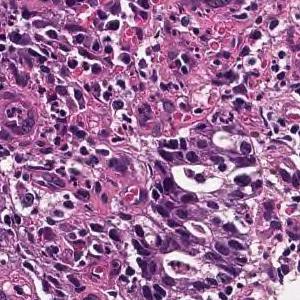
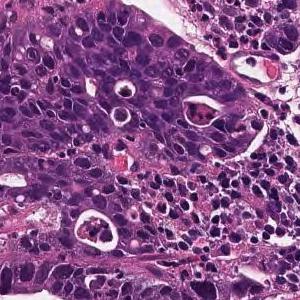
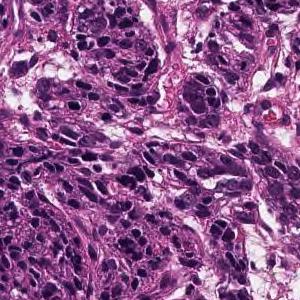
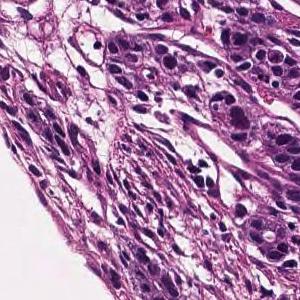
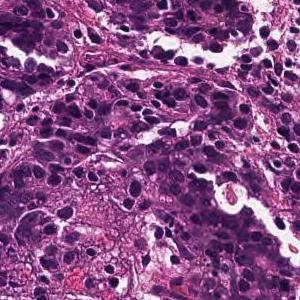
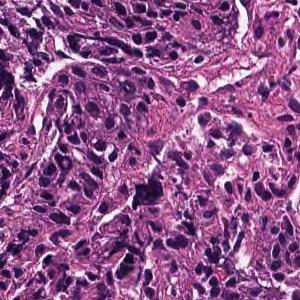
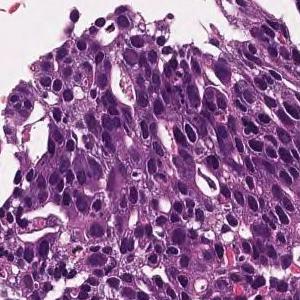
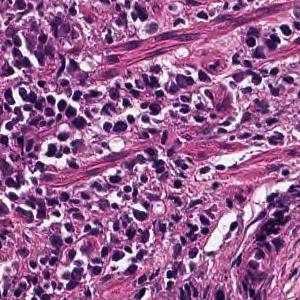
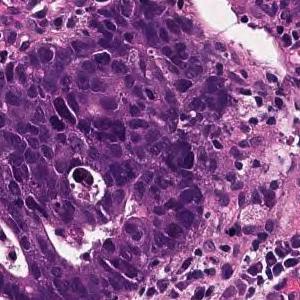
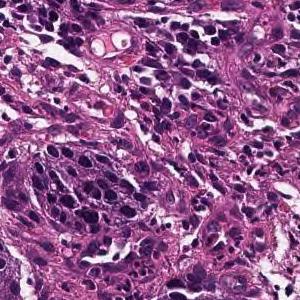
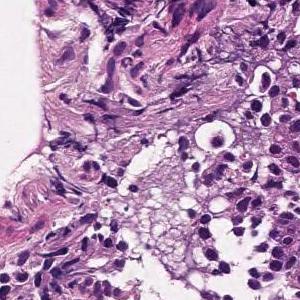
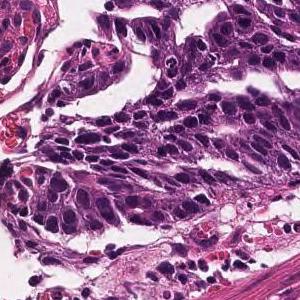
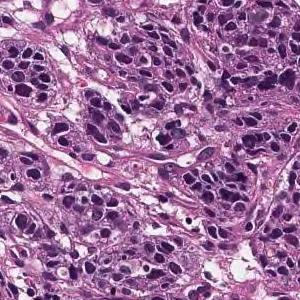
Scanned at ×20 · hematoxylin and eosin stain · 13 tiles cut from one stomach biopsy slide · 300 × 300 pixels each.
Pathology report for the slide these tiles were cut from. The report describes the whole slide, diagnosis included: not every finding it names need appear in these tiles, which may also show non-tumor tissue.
Medium to small, irregular glandular ducts are formed in the superficial epithelium, and in some cases, the glandular ducts are fused to show solid alveolar lesions and infiltrating tumor tissue is observed. Moderately to poorly differentiated adenocarcinoma.
